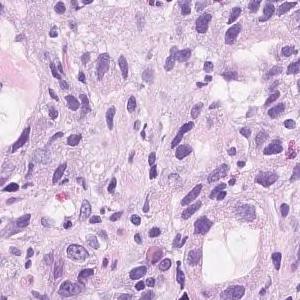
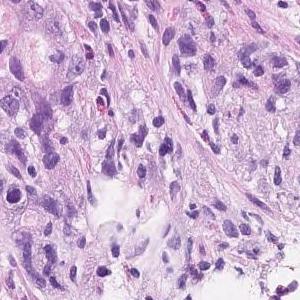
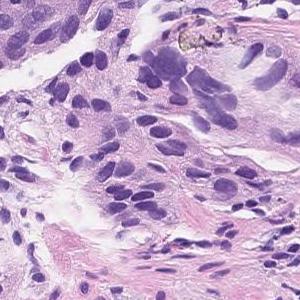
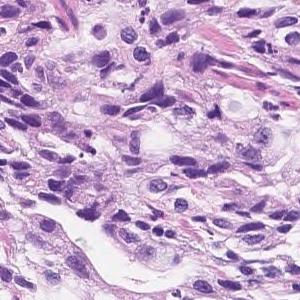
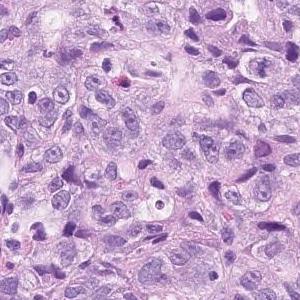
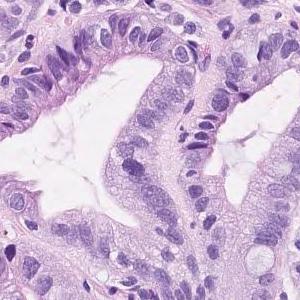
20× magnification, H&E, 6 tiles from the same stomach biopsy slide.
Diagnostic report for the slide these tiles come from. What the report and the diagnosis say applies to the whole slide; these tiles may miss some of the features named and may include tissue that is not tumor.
In the superficial epithelium, tumor tissue that invades by forming medium-sized to small, irregular ducts is observed. Moderately to poorly differentiated adenocarcinoma
